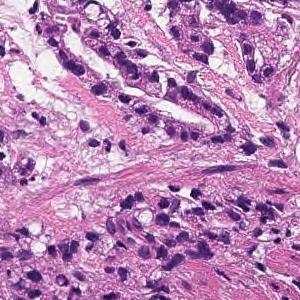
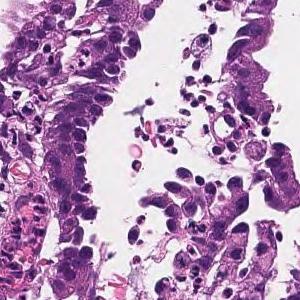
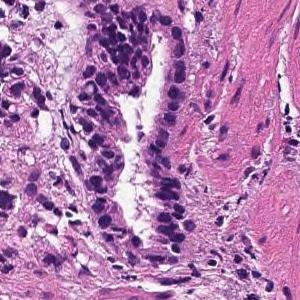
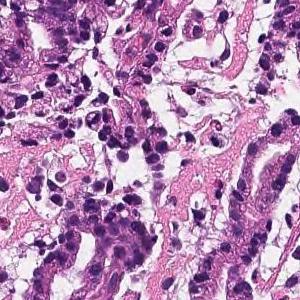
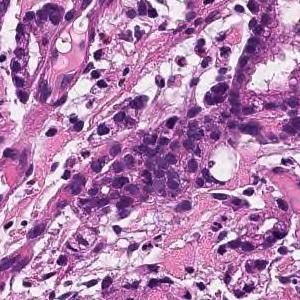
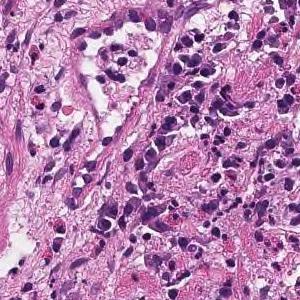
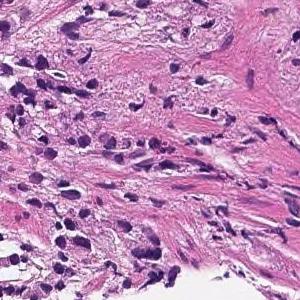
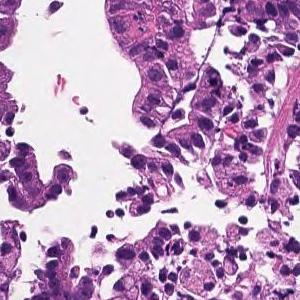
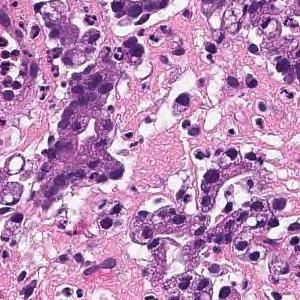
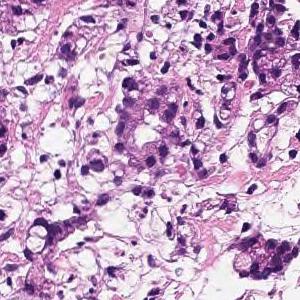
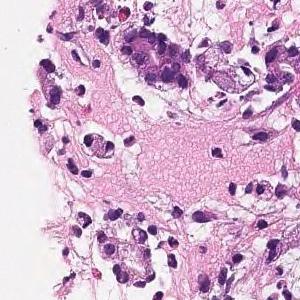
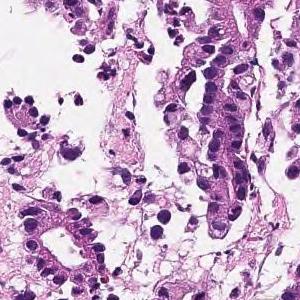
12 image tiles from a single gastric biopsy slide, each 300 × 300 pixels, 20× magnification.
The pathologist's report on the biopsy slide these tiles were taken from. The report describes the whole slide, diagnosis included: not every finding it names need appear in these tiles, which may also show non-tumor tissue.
In the superficial epithelium, tumor tissue that invades by forming medium-sized to small, irregular ducts is observed. moderately differentiated tubular adenocarcinoma.
